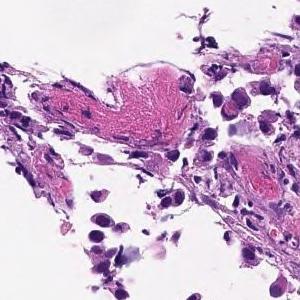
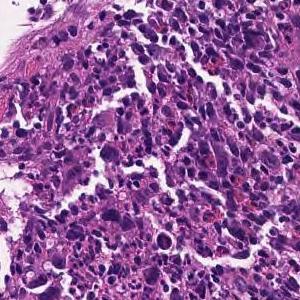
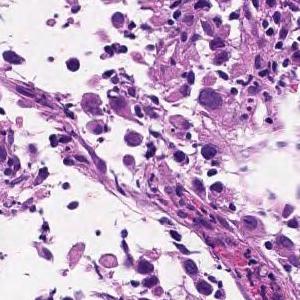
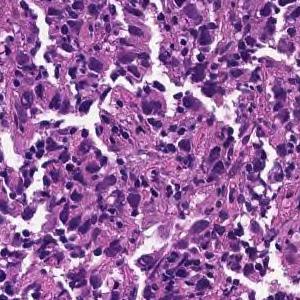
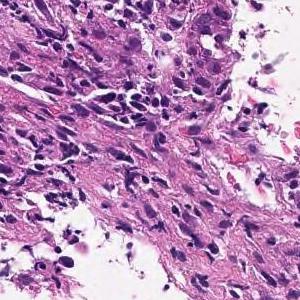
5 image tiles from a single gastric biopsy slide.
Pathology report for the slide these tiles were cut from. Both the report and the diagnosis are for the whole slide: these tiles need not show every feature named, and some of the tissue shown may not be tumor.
The superficial epithelium shows a large sheet-like shape, and some tumor tissue infiltrates with small irregular ducts. Poorly differentiated adenocarcinoma, solid-type (poorly differentiated adenocarcinoma, solid type)
Classified as poorly differentiated adenocarcinoma, solid type, a category of the Japanese Classification of Gastric Carcinoma; in the WHO 2019 classification it is tubular adenocarcinoma, poorly differentiated.
